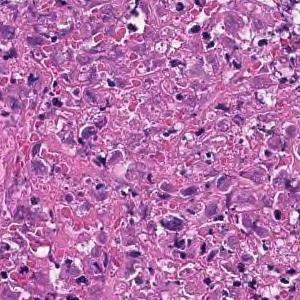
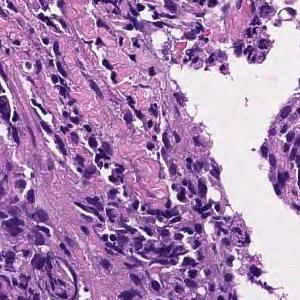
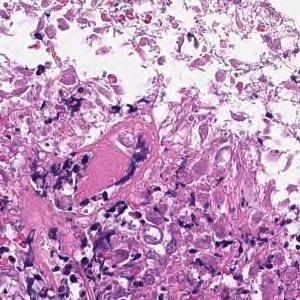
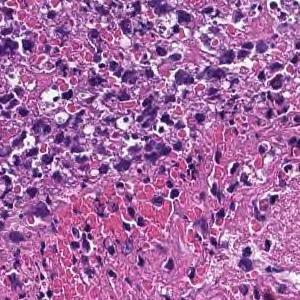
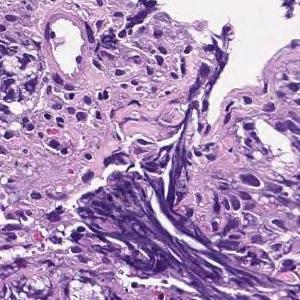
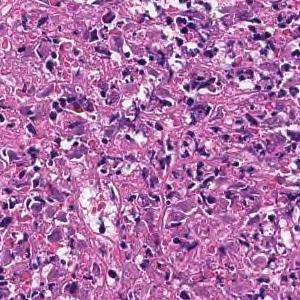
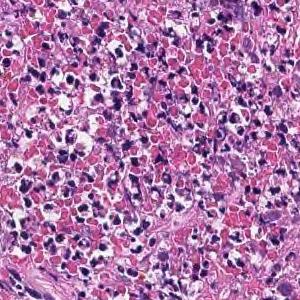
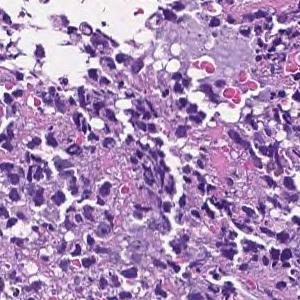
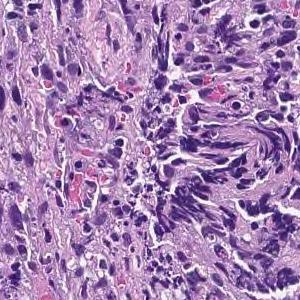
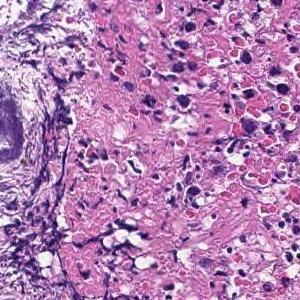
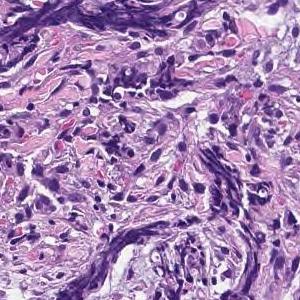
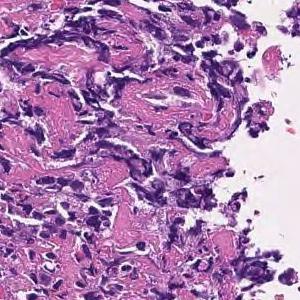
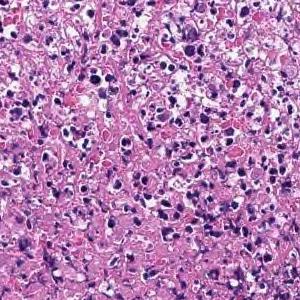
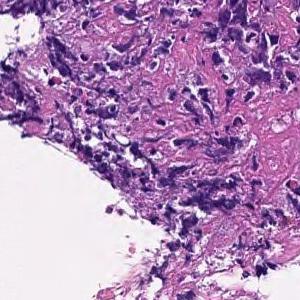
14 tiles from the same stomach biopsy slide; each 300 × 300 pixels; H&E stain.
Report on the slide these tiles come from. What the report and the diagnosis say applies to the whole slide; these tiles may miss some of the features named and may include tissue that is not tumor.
Most are composed of coagulative necrotic tissue, but some show a large sheet-like shape, and some show tumor tissue infiltrating with a small cord-like structure. Poorly differentiated adenocarcinoma, solid-type
Classified as poorly differentiated adenocarcinoma, solid type. This name comes from the Japanese Classification of Gastric Carcinoma; the WHO 2019 classification calls it tubular adenocarcinoma, poorly differentiated.
